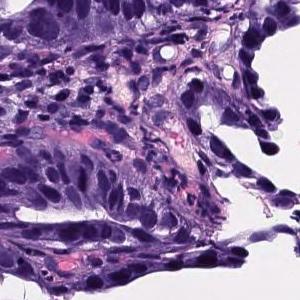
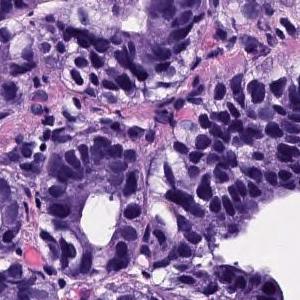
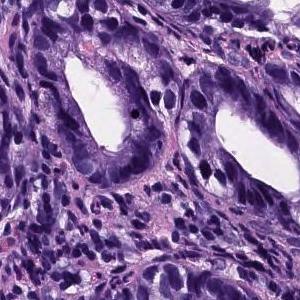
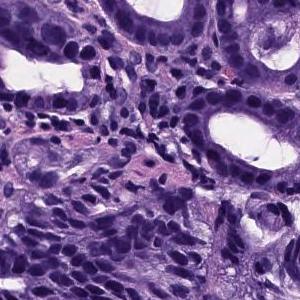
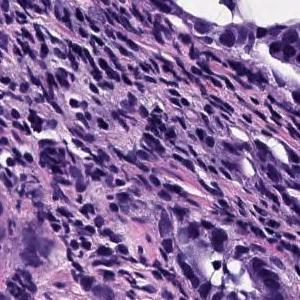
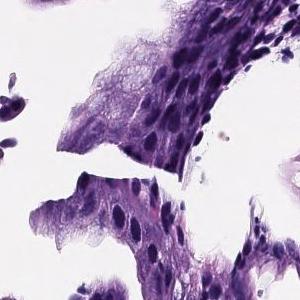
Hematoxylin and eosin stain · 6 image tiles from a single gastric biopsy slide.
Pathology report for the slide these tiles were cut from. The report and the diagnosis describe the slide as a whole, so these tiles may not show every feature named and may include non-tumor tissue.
Large atypical cells which form medium to large ducts are proliferating. Well differentiated adenocarcinoma (well differentiated tubular adenocarcinoma)
Subtype: Well differentiated tubular adenocarcinoma.
